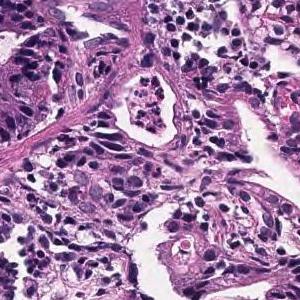
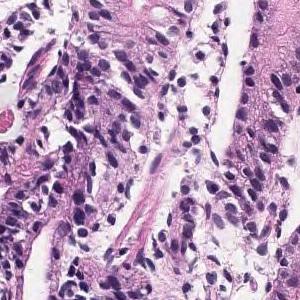
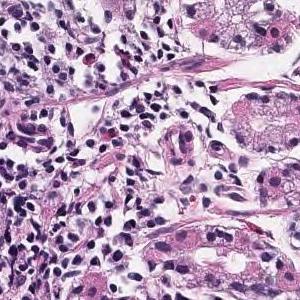
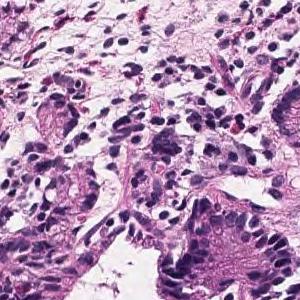
4 tiles from the same stomach biopsy slide · 300×300 px each · H&E.
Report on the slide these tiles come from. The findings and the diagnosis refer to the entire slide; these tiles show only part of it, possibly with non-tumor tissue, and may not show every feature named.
Tumor tissue that grows and grows is observed, showing a medium-sized round or irregular duct. moderately differentiated tubular adenocarcinoma
